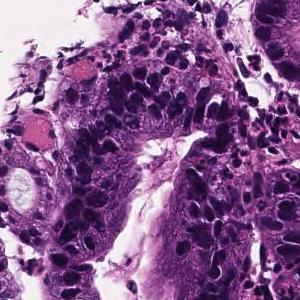
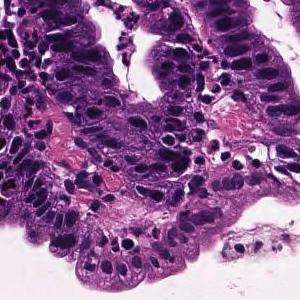
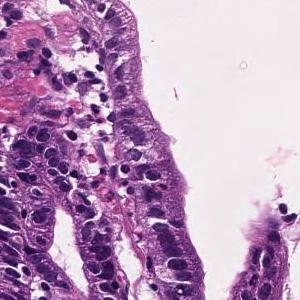
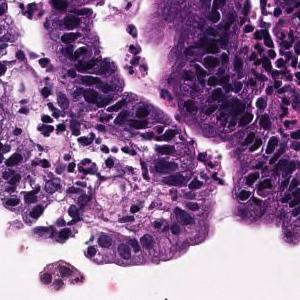
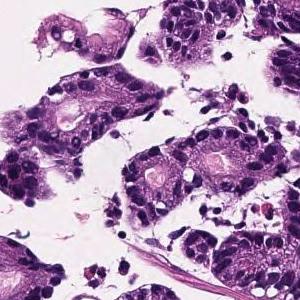
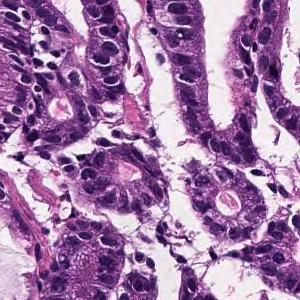
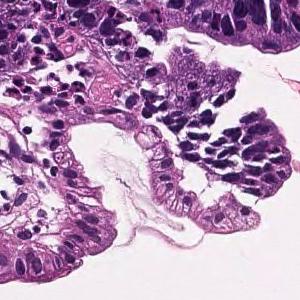
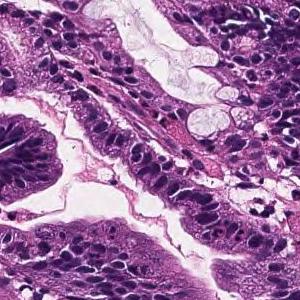
8 tiles from the same stomach biopsy slide, H&E stain, 20× magnification.
Pathology report for the slide these tiles were cut from. The report describes the whole slide, diagnosis included: not every finding it names need appear in these tiles, which may also show non-tumor tissue.
On the superficial epithelium, tumor tissue that infiltrates by forming medium-sized papillary or small irregular ducts is observed. Papillary adenocarcinoma
